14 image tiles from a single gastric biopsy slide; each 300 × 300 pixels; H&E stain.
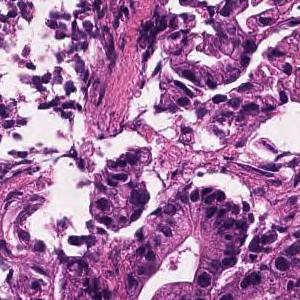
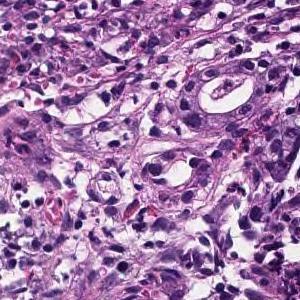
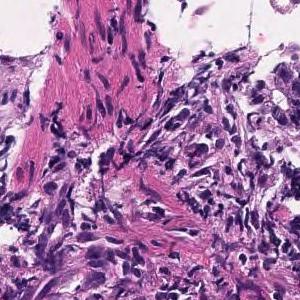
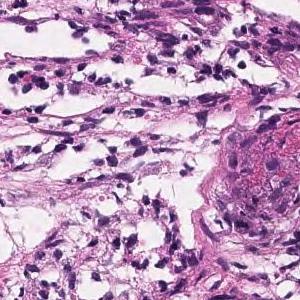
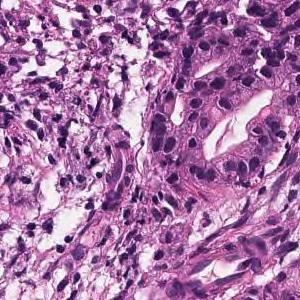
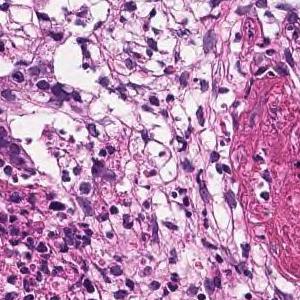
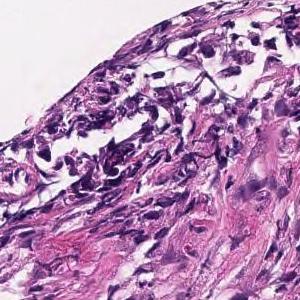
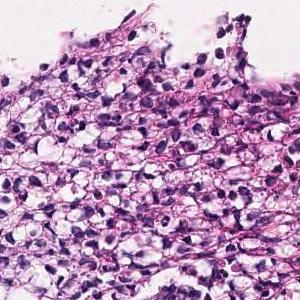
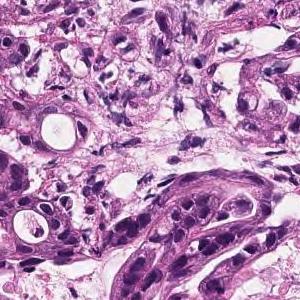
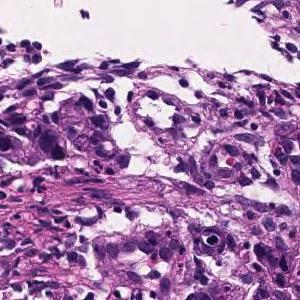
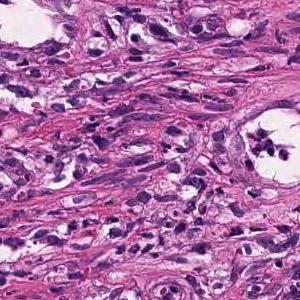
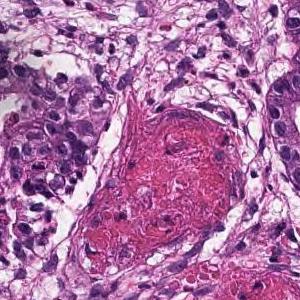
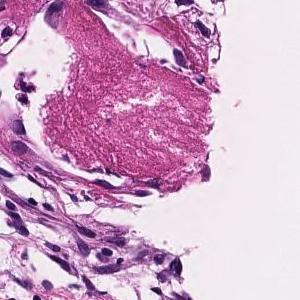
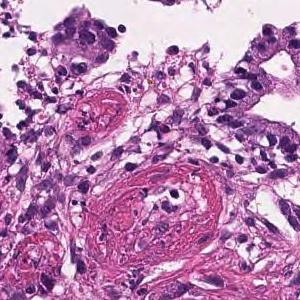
Pathology report for the biopsy slide these tiles were cut from. The findings and the diagnosis refer to the entire slide; these tiles show only part of it, possibly with non-tumor tissue, and may not show every feature named.
In the superficial epithelium, medium to small, irregular gland ducts are formed, and in some cases, the gland ducts are fused to show solid alveolar lesions and infiltrating tumor tissue is observed. Moderately to poorly differentiated adenocarcinoma.
